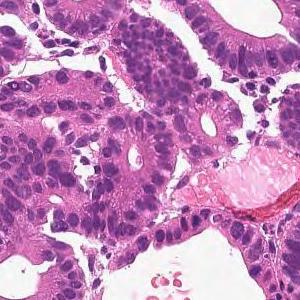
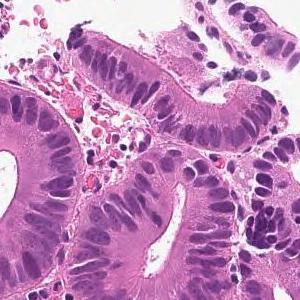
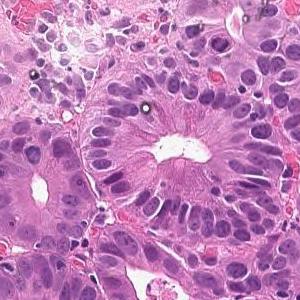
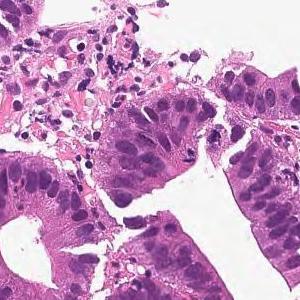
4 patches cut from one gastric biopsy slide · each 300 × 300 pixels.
Report on the slide these tiles come from. What the report and the diagnosis say applies to the whole slide; these tiles may miss some of the features named and may include tissue that is not tumor.
From the superficial epithelium to the muscularis mucosae, tumor tissue consisting of medium-sized and irregular glandular ducts infiltrating is observed. Well differentiated tubular adenocarcinoma
